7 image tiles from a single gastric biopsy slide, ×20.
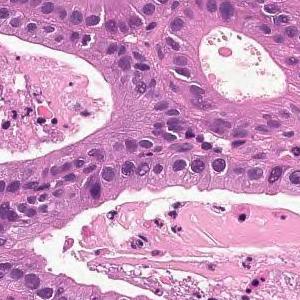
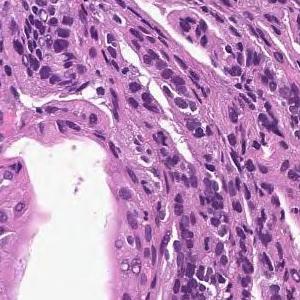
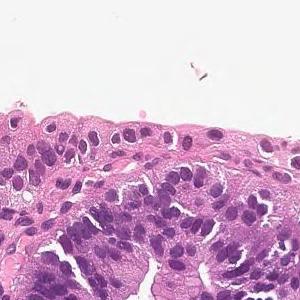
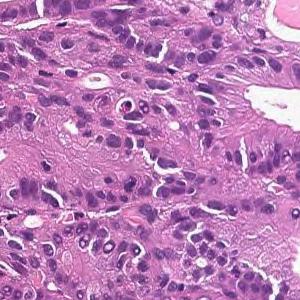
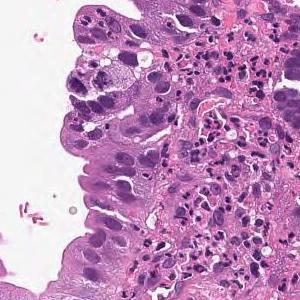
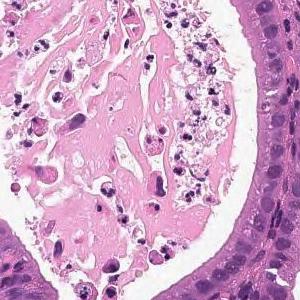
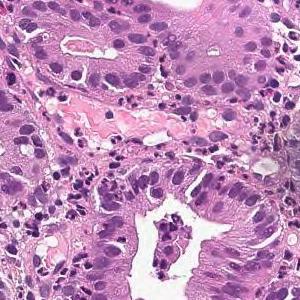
The pathologist's report on the biopsy slide these tiles were taken from. Both the report and the diagnosis are for the whole slide: these tiles need not show every feature named, and some of the tissue shown may not be tumor.
From the superficial epithelium to the muscularis mucosae, tumor tissue consisting of medium-sized and irregular glandular ducts infiltrating is observed. Well differentiated tubular adenocarcinoma
